13 tiles from the same stomach biopsy slide, 300 × 300 pixels each, scanned at ×20.
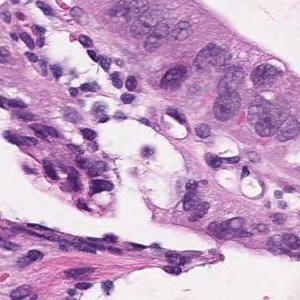
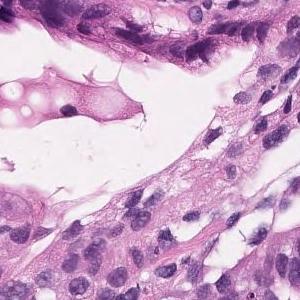
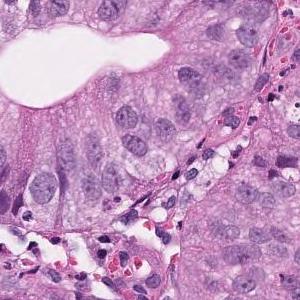
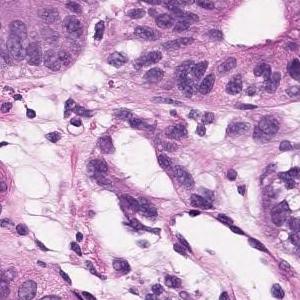
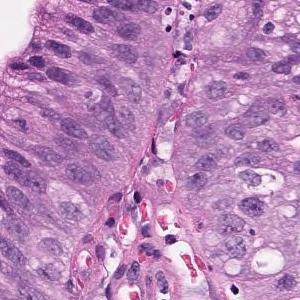
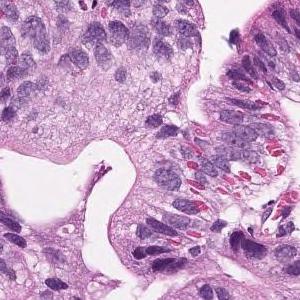
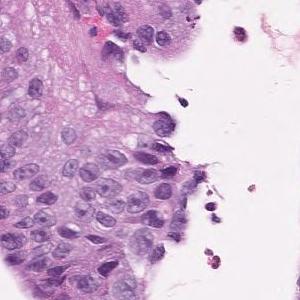
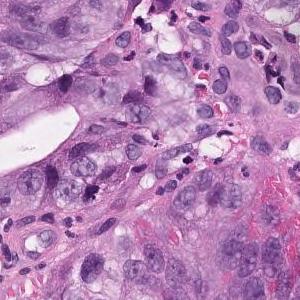
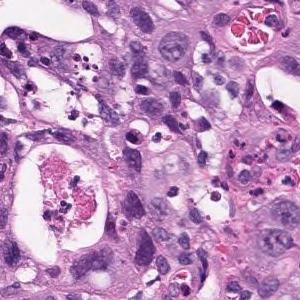
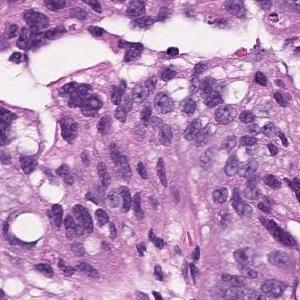
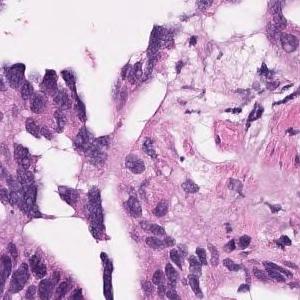
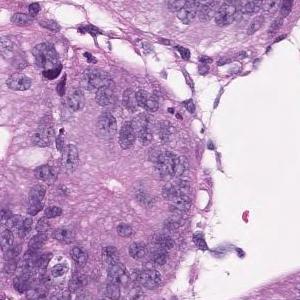
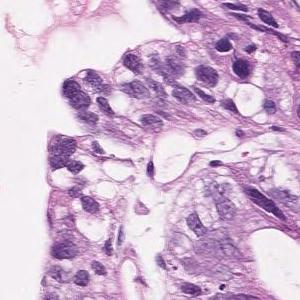
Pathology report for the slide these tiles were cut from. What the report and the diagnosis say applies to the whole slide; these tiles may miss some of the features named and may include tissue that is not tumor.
On the superficial epithelium, tumor tissue consisting of medium to small irregular tubules partially fused and proliferated is observed. Well differentiated tubular adenocarcinoma
